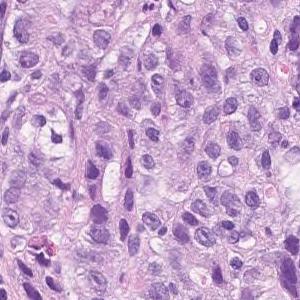
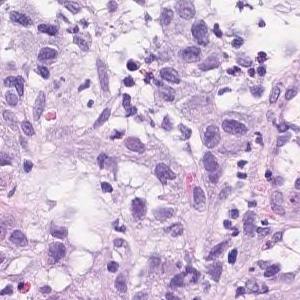
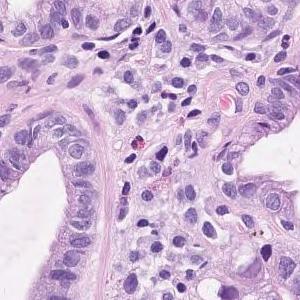
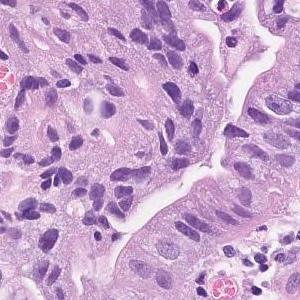
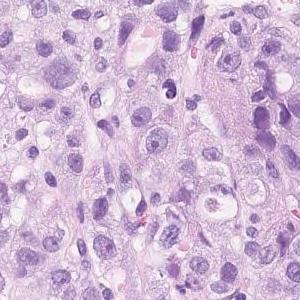
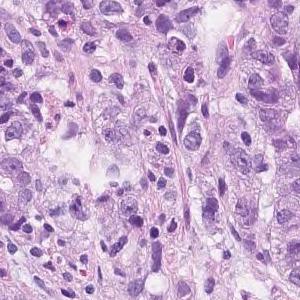
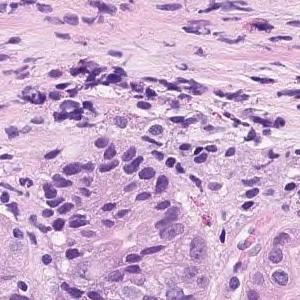
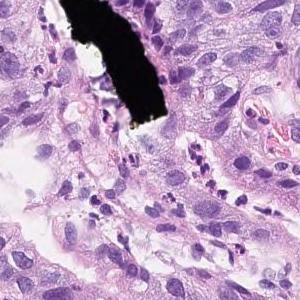
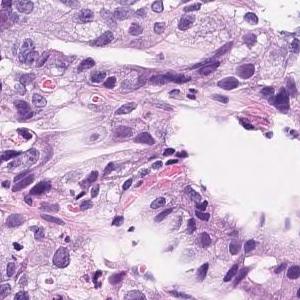
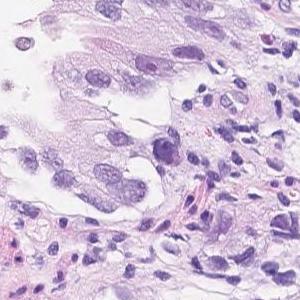
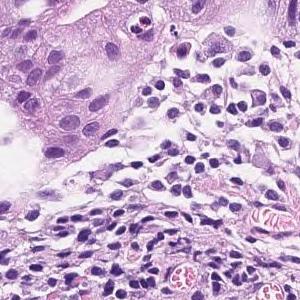
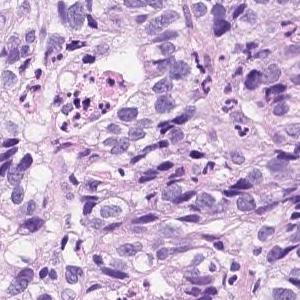
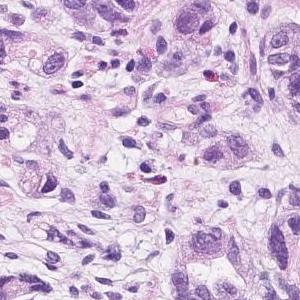
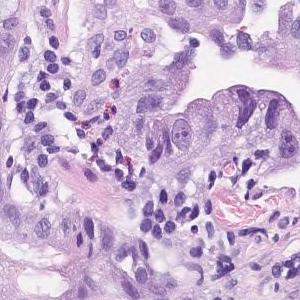
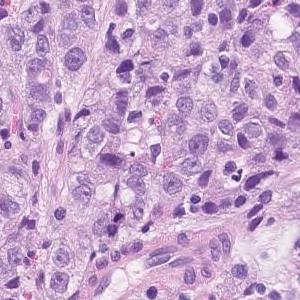
15 tiles from the same stomach biopsy slide; H&E; 20× magnification.
Pathology report for the slide these tiles were cut from. The report and the diagnosis cover the entire slide, so not every feature they name need be visible here, and some tissue shown may not be tumor.
In the superficial epithelium, tumor tissue that invades by forming medium-sized to small, irregular ducts is observed. Moderately to poorly differentiated adenocarcinoma
